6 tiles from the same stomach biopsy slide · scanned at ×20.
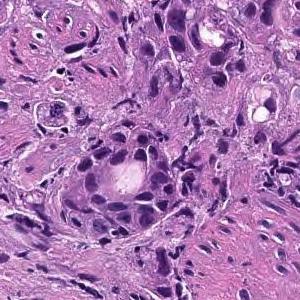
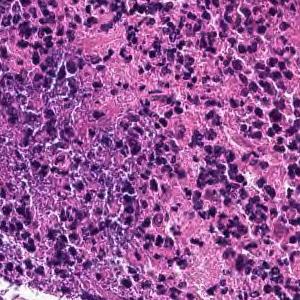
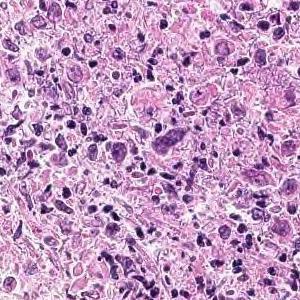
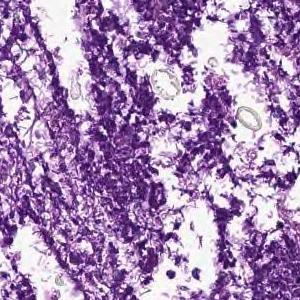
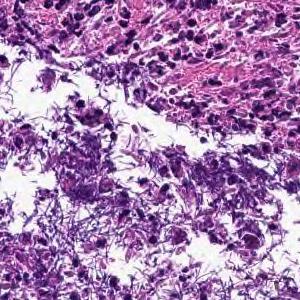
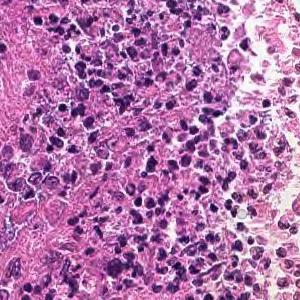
Pathology report for the biopsy slide these tiles were cut from. The report describes the whole slide, diagnosis included: not every finding it names need appear in these tiles, which may also show non-tumor tissue.
Cancers with polygonal nuclei do not show glandular formation and are densely, in part, cord-like and proliferate. Poorly differentiated adenocarcinoma
Histological subtype: Poorly differentiated adenocarcinoma, non-solid type.
"Non-solid type" is a category of the Japanese Classification of Gastric Carcinoma.
